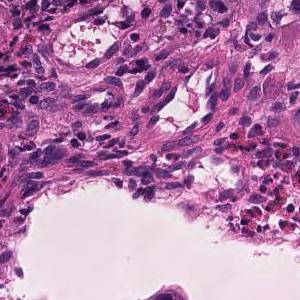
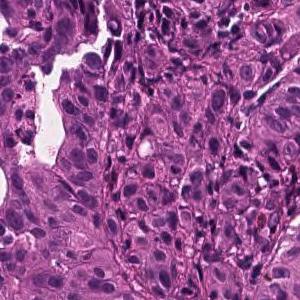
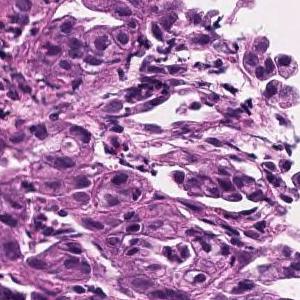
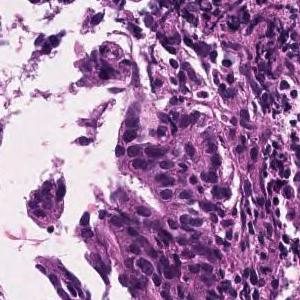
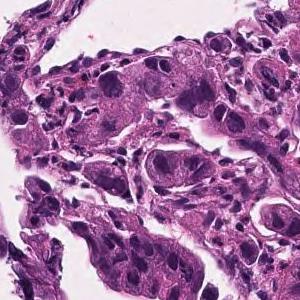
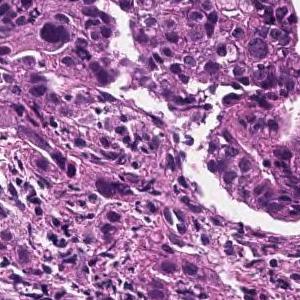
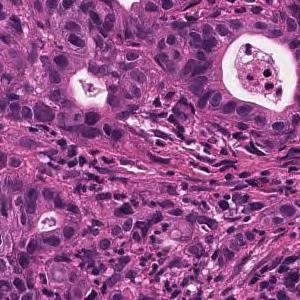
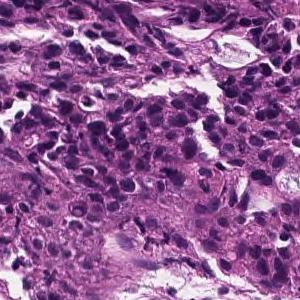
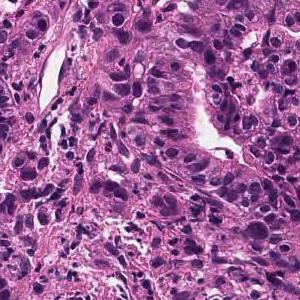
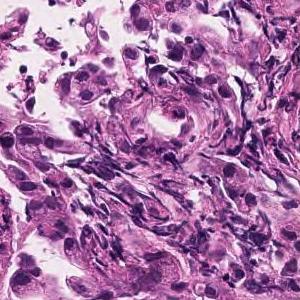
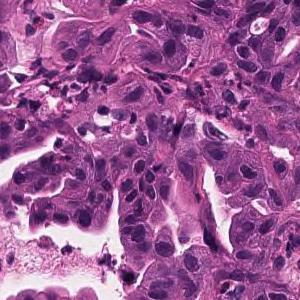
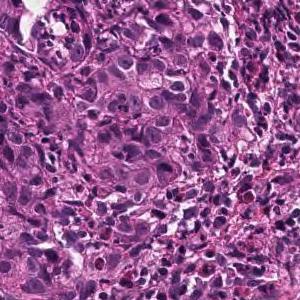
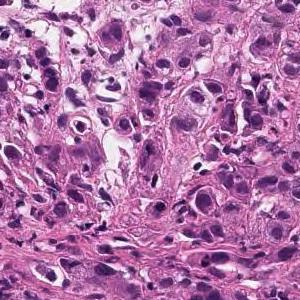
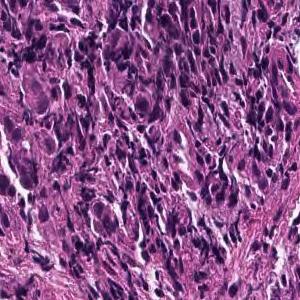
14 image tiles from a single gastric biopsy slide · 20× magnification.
Diagnostic report for the slide these tiles come from. Both the report and the diagnosis are for the whole slide: these tiles need not show every feature named, and some of the tissue shown may not be tumor.
Tumor tissue consisting of medium-sized, cord-like or irregular glandular infiltration is observed in the superficial epithelium. Poorly differentiated adenocarcinoma, non-solid type or moderately differentiated tubular adenocarcinoma
The non-solid type named here is a Japanese Classification of Gastric Carcinoma category.
